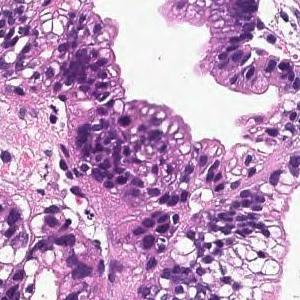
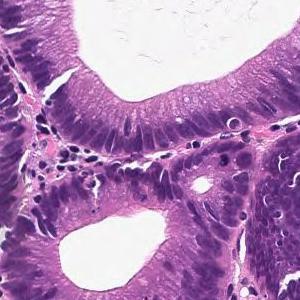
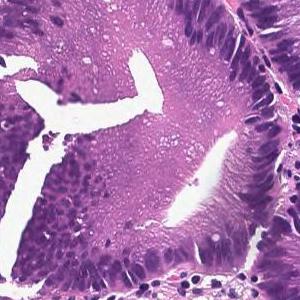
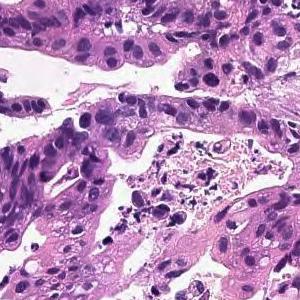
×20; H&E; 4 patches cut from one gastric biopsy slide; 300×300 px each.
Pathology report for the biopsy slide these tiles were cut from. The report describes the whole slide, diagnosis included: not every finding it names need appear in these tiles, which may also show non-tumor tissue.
In the superficial epithelium, tumor tissue that invades by forming medium-sized to small, irregular ducts is observed. moderately differentiated tubular adenocarcinoma.
